20× magnification; 10 patches cut from one gastric biopsy slide; 300×300 px each.
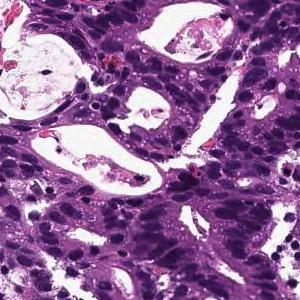
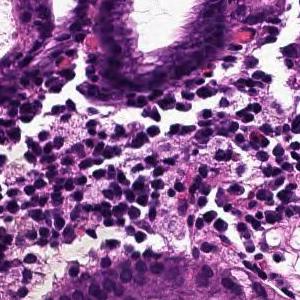
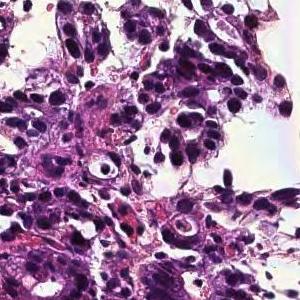
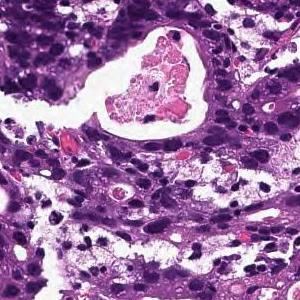
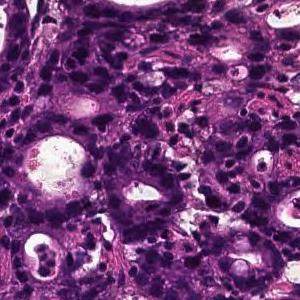
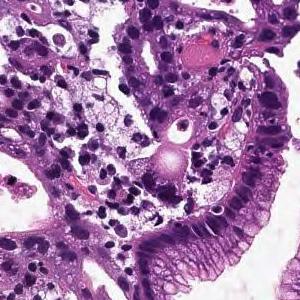
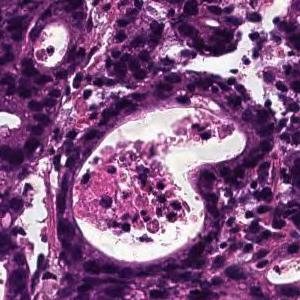
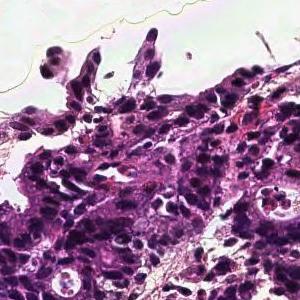
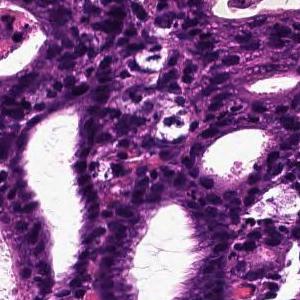
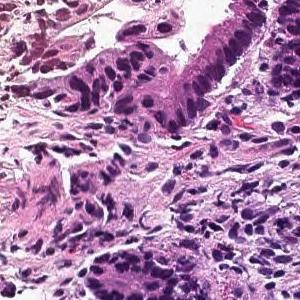
Pathology report for the biopsy slide these tiles were cut from. What the report and the diagnosis say applies to the whole slide; these tiles may miss some of the features named and may include tissue that is not tumor.
In the superficial epithelium, tumor tissue that invades by forming medium-sized to small, irregular ducts is observed. moderately differentiated tubular adenocarcinoma.
